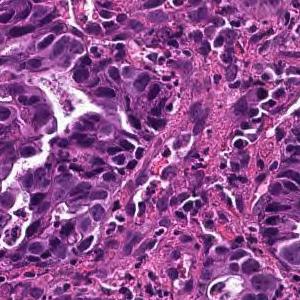
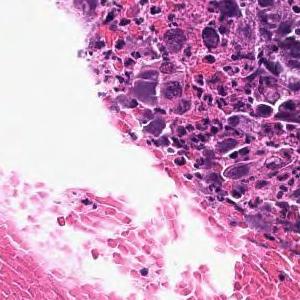
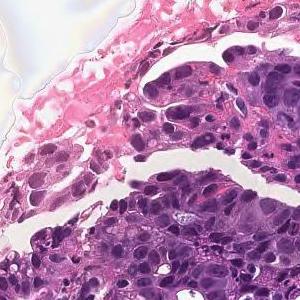
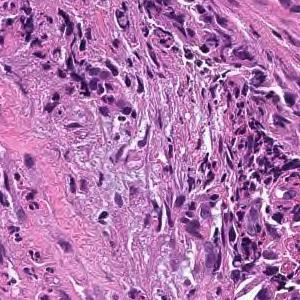
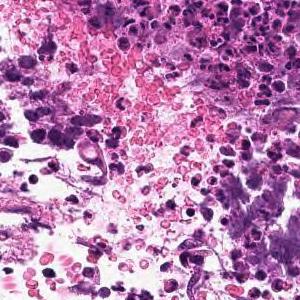
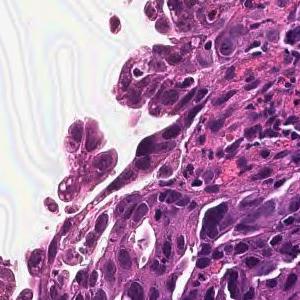
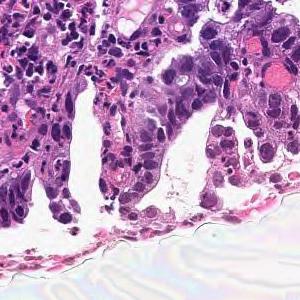
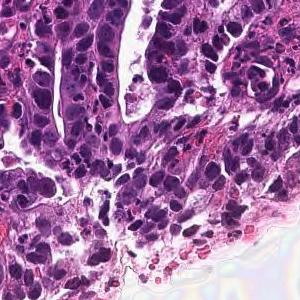
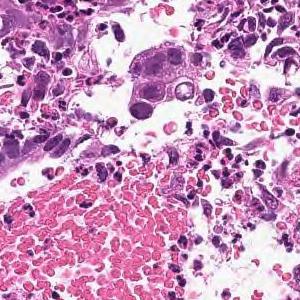
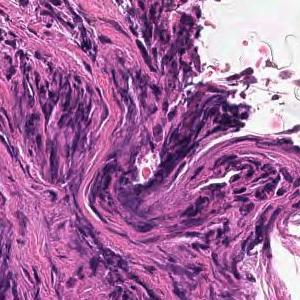
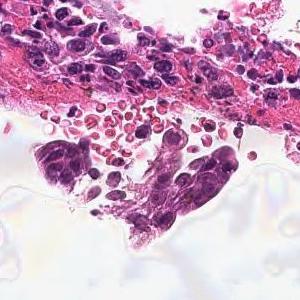
11 tiles cut from one stomach biopsy slide, H&E stain, scanned at ×20.
Diagnostic report for the slide these tiles come from. The report and the diagnosis describe the slide as a whole, so these tiles may not show every feature named and may include non-tumor tissue.
In the superficial epithelium, tumor tissue that invades by forming medium-sized to small, irregular ducts is observed. moderately differentiated tubular adenocarcinoma.
